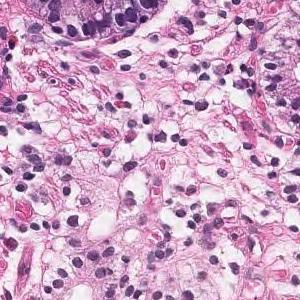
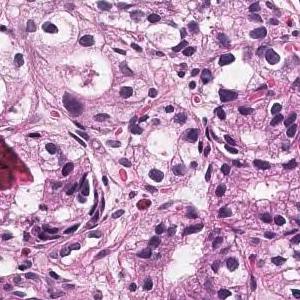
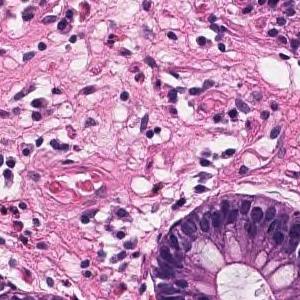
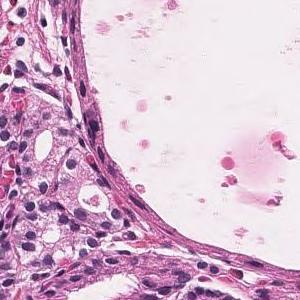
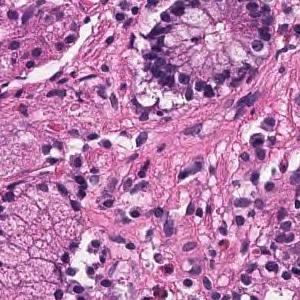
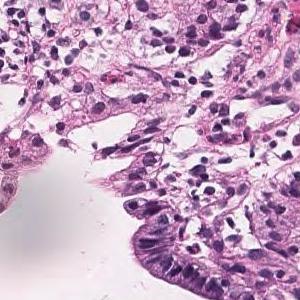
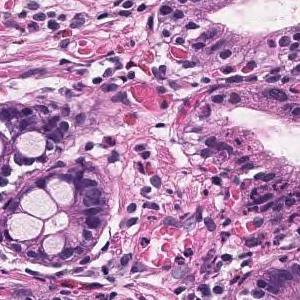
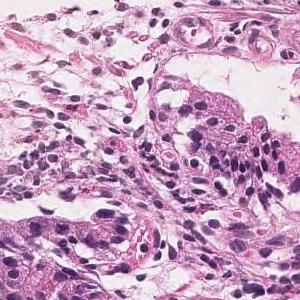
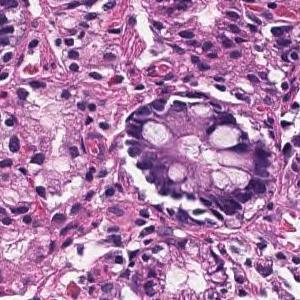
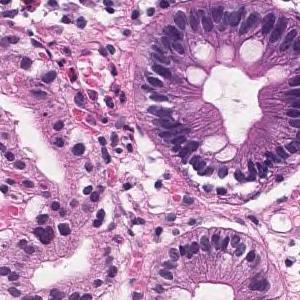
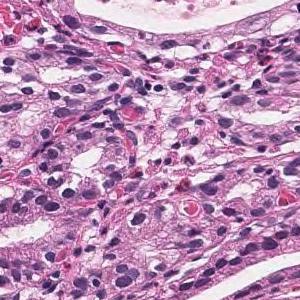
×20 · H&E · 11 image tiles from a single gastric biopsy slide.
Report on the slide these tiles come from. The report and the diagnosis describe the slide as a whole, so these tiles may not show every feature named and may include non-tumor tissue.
On the superficial epithelium, tumor tissue consisting of large, irregular glandular ducts partially fused and infiltrated is observed. Well differentiated tubular adenocarcinoma
